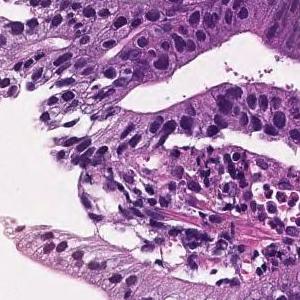
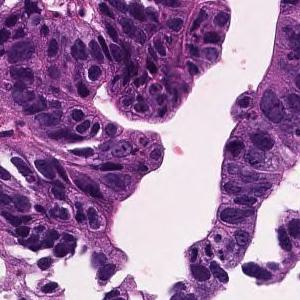
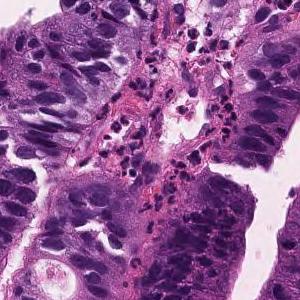
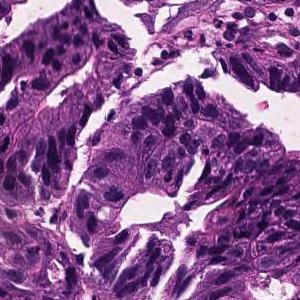
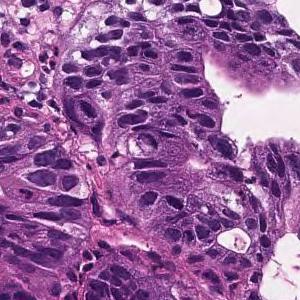
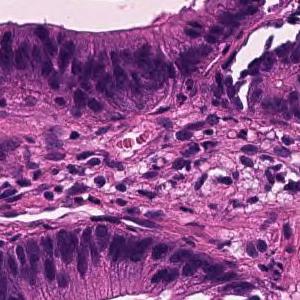
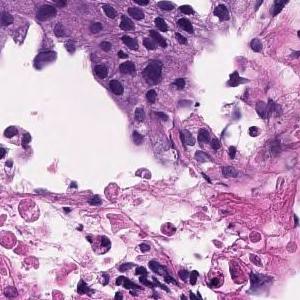
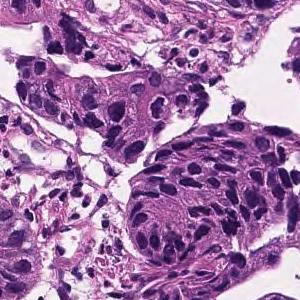
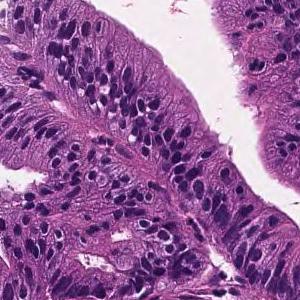
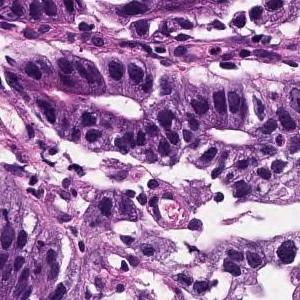
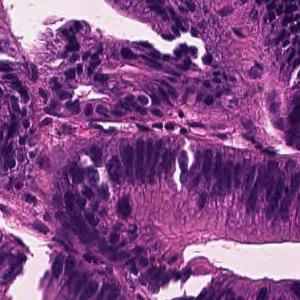
11 tiles from the same stomach biopsy slide; 300×300 px each; hematoxylin and eosin stain; 20× magnification.
Pathology report for the slide these tiles were cut from. The report describes the whole slide, diagnosis included: not every finding it names need appear in these tiles, which may also show non-tumor tissue.
Tumor cells are large, highly columnar, large club-shaped nuclei, and are associated with chromatin aggregation. Papillary adenocarcinoma.
